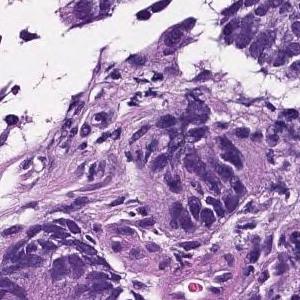
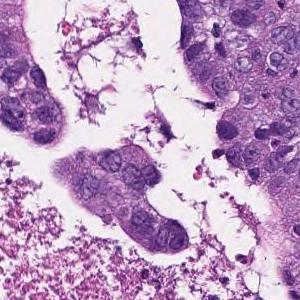
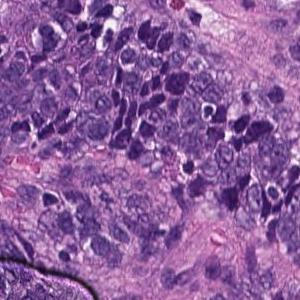
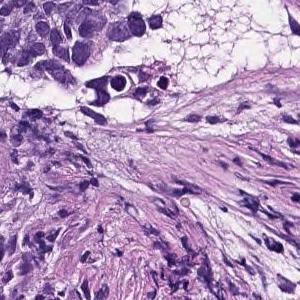
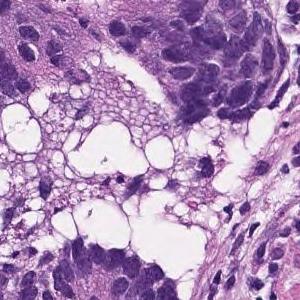
Scanned at ×20, 5 tiles from the same stomach biopsy slide, 300 × 300 pixels each.
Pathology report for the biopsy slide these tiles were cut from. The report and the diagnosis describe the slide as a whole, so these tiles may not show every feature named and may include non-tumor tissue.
In the superficial epithelium, tumor tissue that invades by forming medium-sized to small, irregular ducts is observed. moderately differentiated tubular adenocarcinoma.
